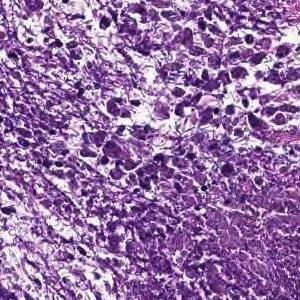
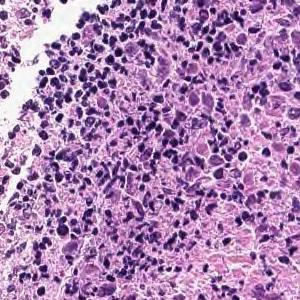
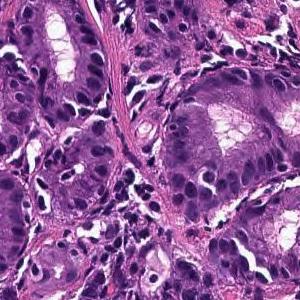
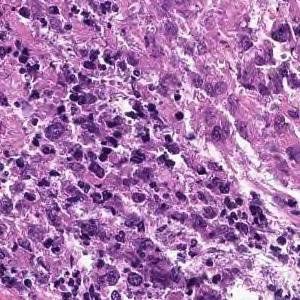
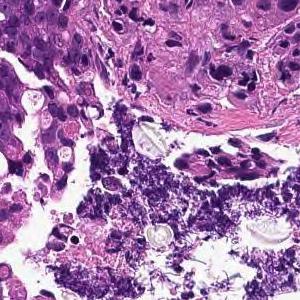
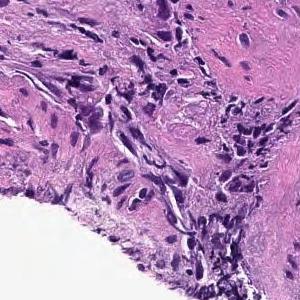
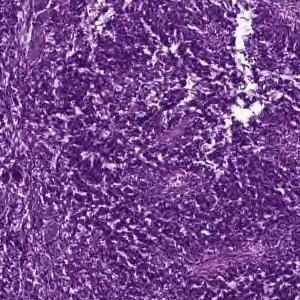
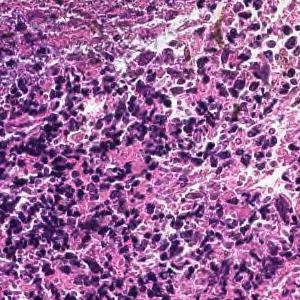
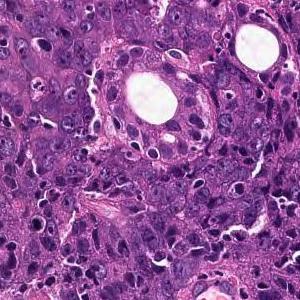
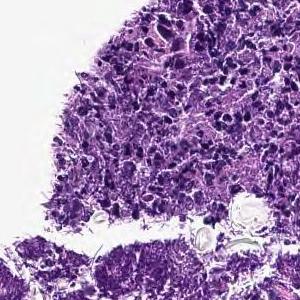
H&E stain · 20× magnification · 10 patches cut from one gastric biopsy slide.
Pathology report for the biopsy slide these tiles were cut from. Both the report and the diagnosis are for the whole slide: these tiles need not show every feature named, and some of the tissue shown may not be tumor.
Cancers with polygonal nuclei do not show glandular formation and are densely, in part, cord-like and proliferate. Poorly differentiated adenocarcinoma
Classified as poorly differentiated adenocarcinoma, non-solid type.
"Non-solid type" is a category of the Japanese Classification of Gastric Carcinoma.
